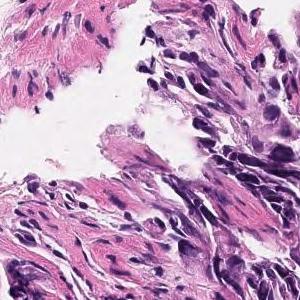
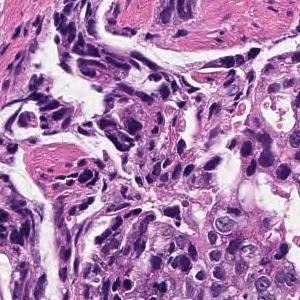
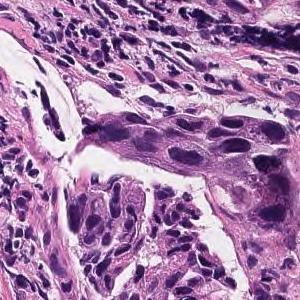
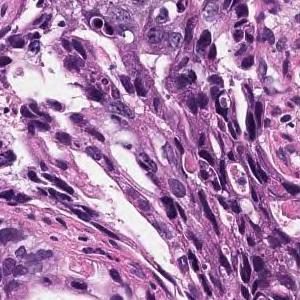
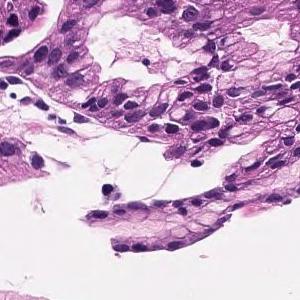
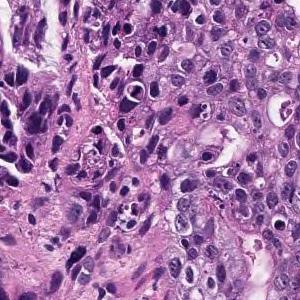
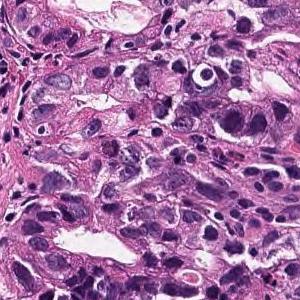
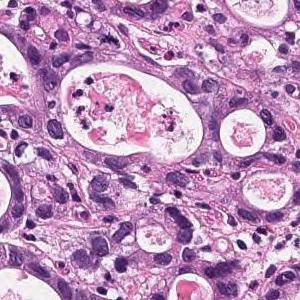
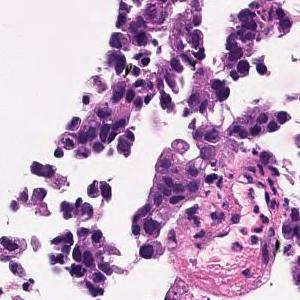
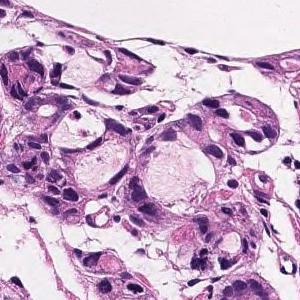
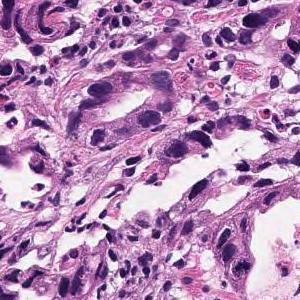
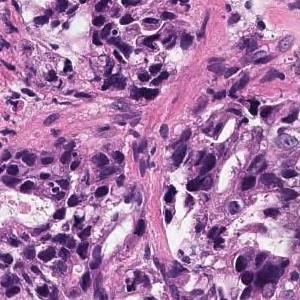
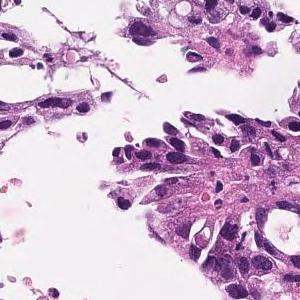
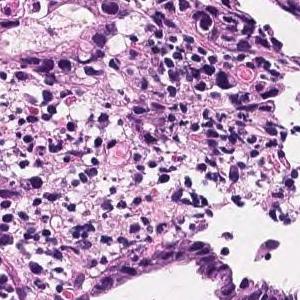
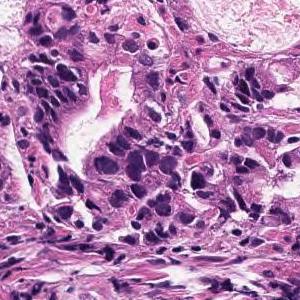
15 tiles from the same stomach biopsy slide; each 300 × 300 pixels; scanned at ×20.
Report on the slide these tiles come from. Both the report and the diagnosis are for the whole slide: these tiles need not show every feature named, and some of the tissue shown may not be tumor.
In the superficial epithelium, tumor tissue that invades by forming medium-sized to small, irregular ducts is observed. Moderately differentiated adenocarcinoma.
Histologic type: Moderately differentiated tubular adenocarcinoma.
